×20 · 4 patches cut from one gastric biopsy slide.
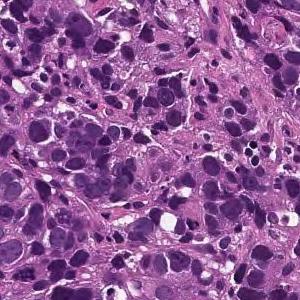
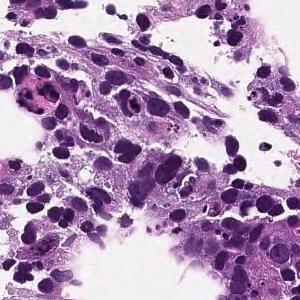
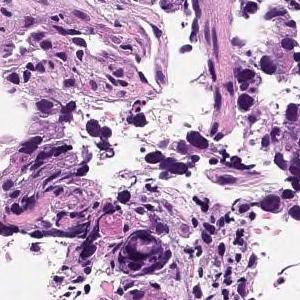
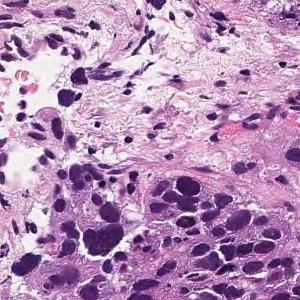
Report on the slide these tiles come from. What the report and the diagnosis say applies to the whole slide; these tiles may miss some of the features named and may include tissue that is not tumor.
Tumor cells are medium-sized polygonal with no extracellular mucus production or duct formation. Poorly differentiated adenocarcinoma, solid-type
Histologic type: Poorly differentiated adenocarcinoma, solid type, a category of the Japanese Classification of Gastric Carcinoma; in the WHO 2019 classification it is tubular adenocarcinoma, poorly differentiated.
